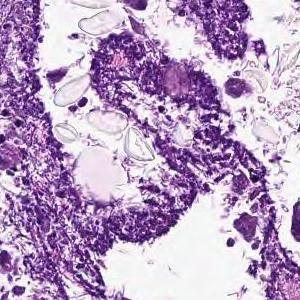
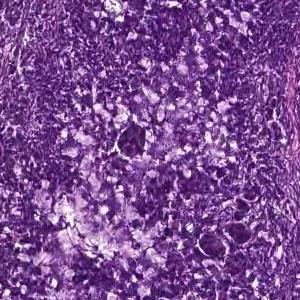
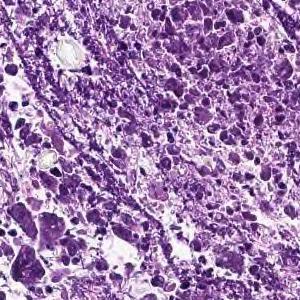
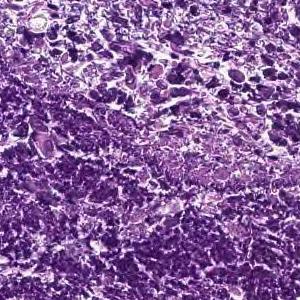
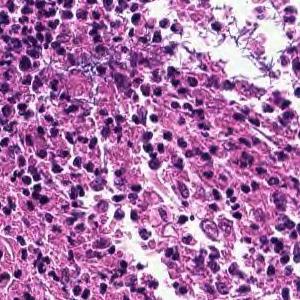
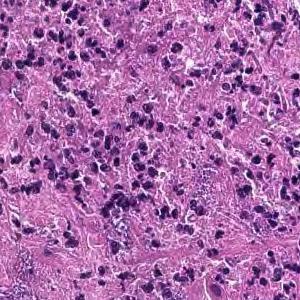
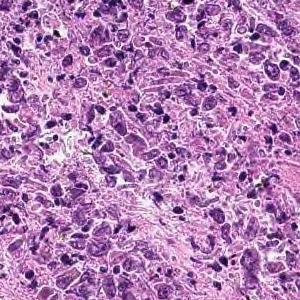
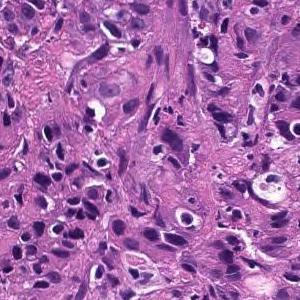
20× magnification · hematoxylin and eosin stain · 8 patches cut from one gastric biopsy slide · each 300 × 300 pixels.
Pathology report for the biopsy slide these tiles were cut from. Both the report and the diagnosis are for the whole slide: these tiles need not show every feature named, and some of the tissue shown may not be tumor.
Cancers with polygonal nuclei do not show glandular formation and are densely, in part, cord-like and proliferate. Poorly differentiated adenocarcinoma
Histologic type: Poorly differentiated adenocarcinoma, non-solid type.
The term "non-solid type" comes from the Japanese Classification of Gastric Carcinoma.
